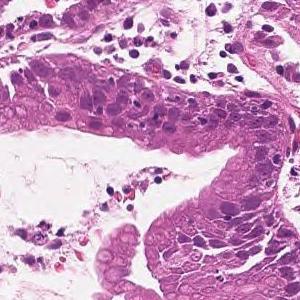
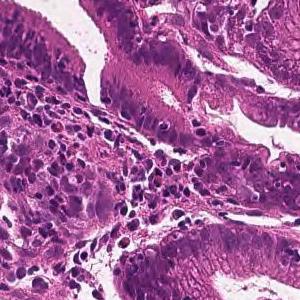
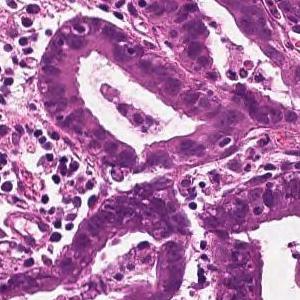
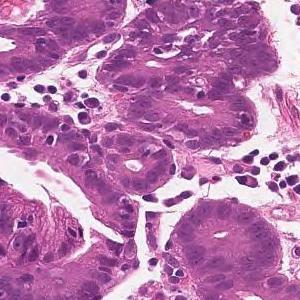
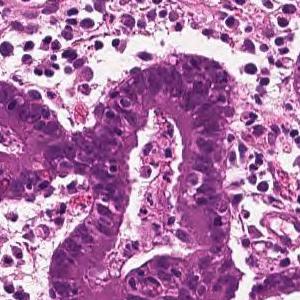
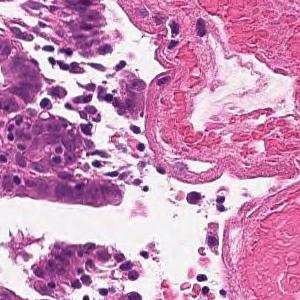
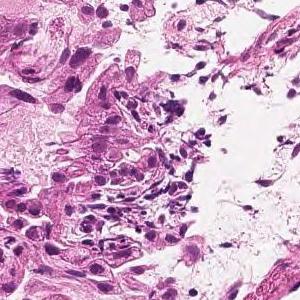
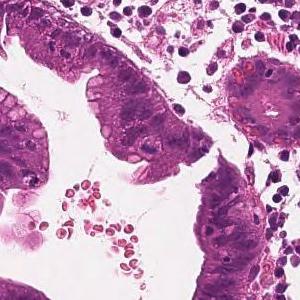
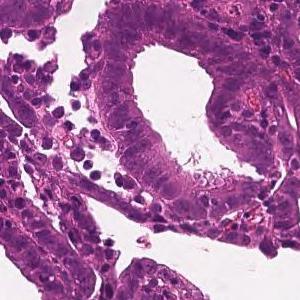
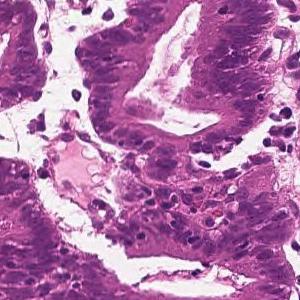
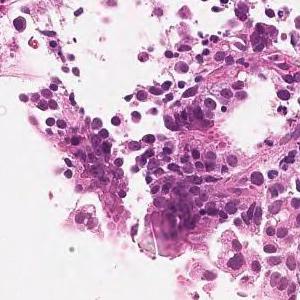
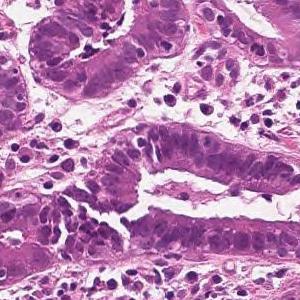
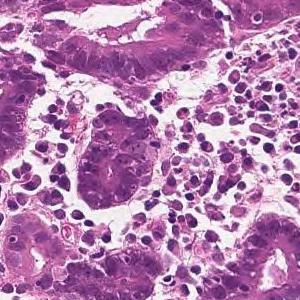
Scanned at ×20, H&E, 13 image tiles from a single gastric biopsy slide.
Diagnostic report for the slide these tiles come from. Both the report and the diagnosis are for the whole slide: these tiles need not show every feature named, and some of the tissue shown may not be tumor.
On the superficial epithelium, tumor tissue is found in which medium-sized irregular gland ducts fuse with each other and infiltrate. moderately differentiated tubular adenocarcinoma
